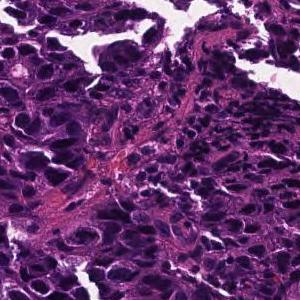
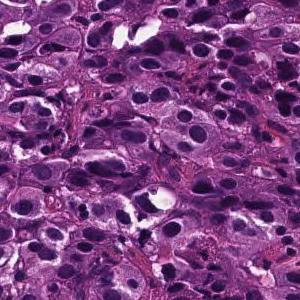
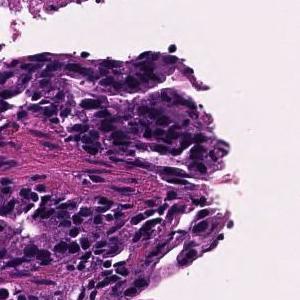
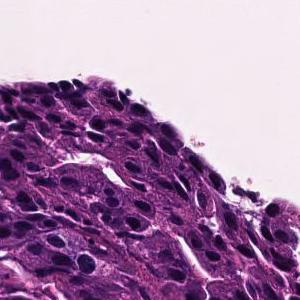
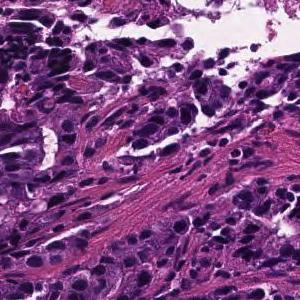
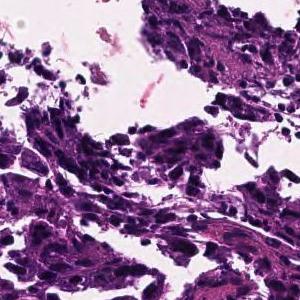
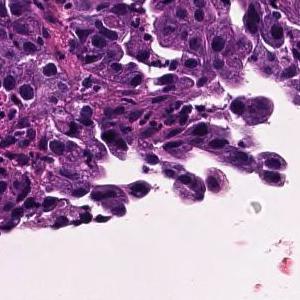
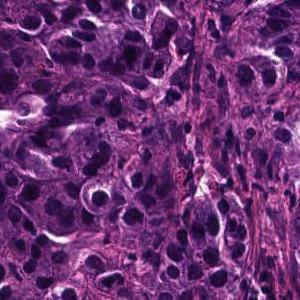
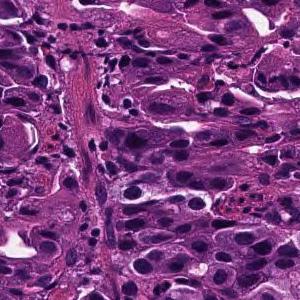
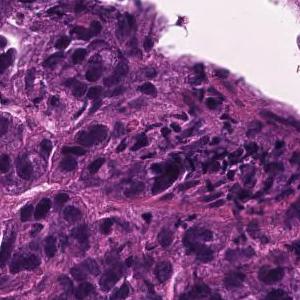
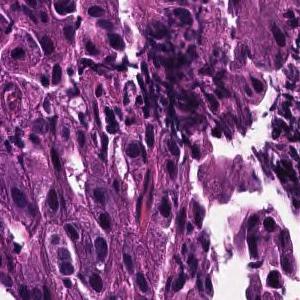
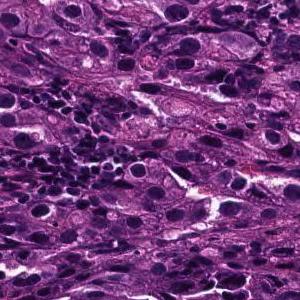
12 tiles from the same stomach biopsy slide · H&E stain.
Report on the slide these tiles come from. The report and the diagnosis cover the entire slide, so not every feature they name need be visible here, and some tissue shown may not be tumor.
Tumor tissue consisting of medium-sized, cord-like or irregular glandular fusion and infiltration is observed in the superficial epithelium. Poorly differentiated adenocarcinoma, non-solid type or moderately differentiated tubular adenocarcinoma
Histological subtype: Moderately to poorly differentiated adenocarcinoma.
The term "non-solid type" comes from the Japanese Classification of Gastric Carcinoma.
